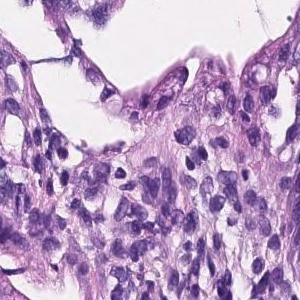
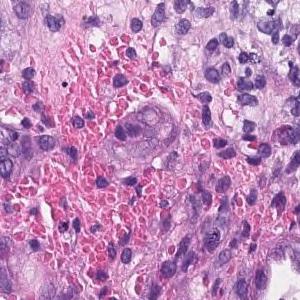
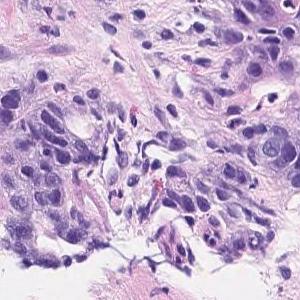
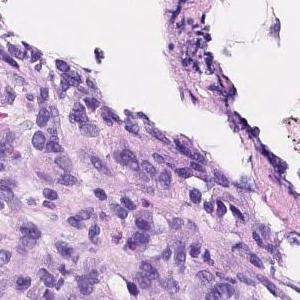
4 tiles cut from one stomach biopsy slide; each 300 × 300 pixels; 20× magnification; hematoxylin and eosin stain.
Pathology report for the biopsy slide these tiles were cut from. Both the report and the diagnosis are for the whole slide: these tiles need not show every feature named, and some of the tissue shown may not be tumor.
Irregularly fused atypical ducts proliferating while replacing existing ducts was observed. moderately differentiated tubular adenocarcinoma
